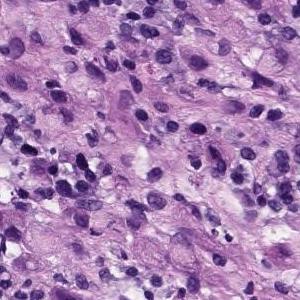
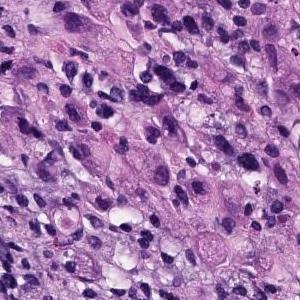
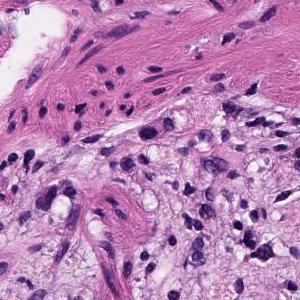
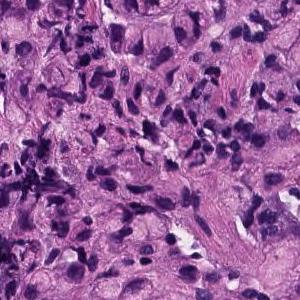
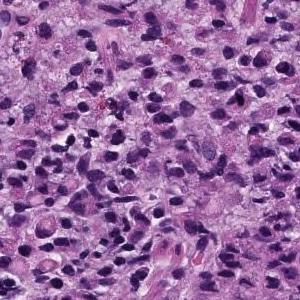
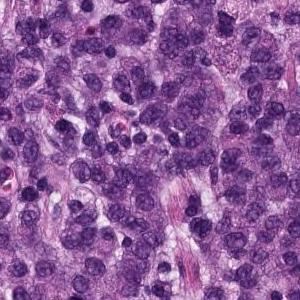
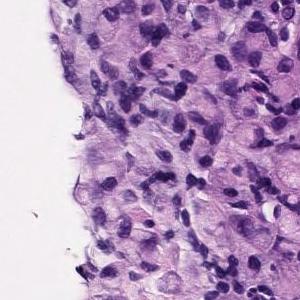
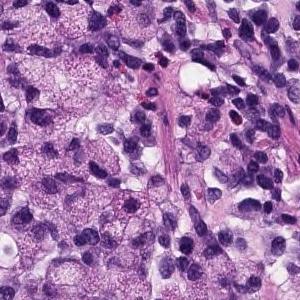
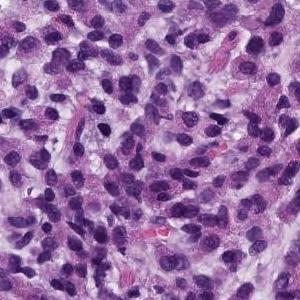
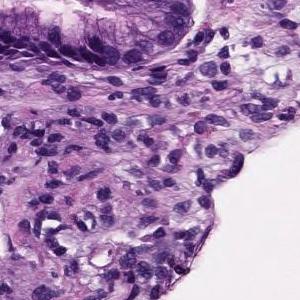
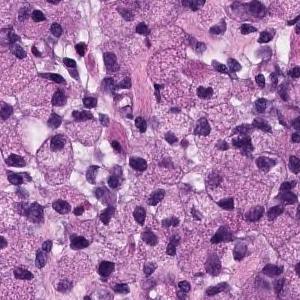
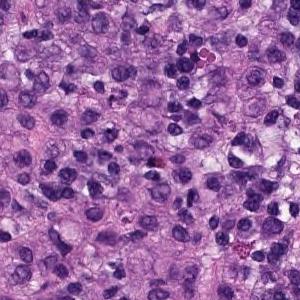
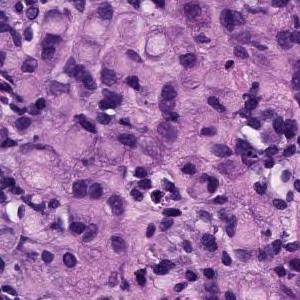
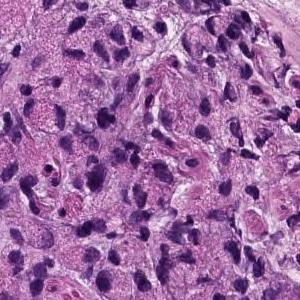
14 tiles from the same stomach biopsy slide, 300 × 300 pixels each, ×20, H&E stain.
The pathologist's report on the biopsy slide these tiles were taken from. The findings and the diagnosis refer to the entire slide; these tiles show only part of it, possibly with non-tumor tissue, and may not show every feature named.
The superficial epithelium shows a large sheet-like shape, and some tumor tissue infiltrates with small irregular ducts. Poorly differentiated adenocarcinoma, solid-type
Classified as poorly differentiated adenocarcinoma, solid type, a category of the Japanese Classification of Gastric Carcinoma; in the WHO 2019 classification it is tubular adenocarcinoma, poorly differentiated.
